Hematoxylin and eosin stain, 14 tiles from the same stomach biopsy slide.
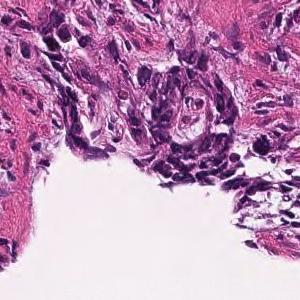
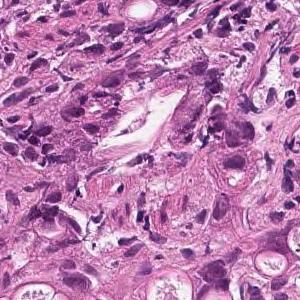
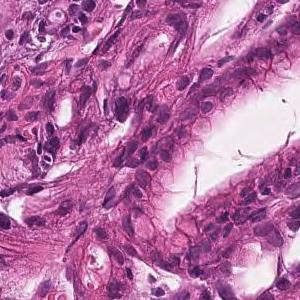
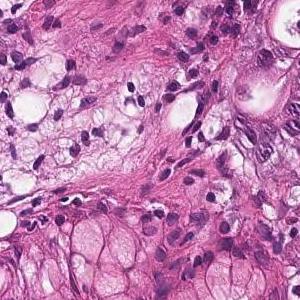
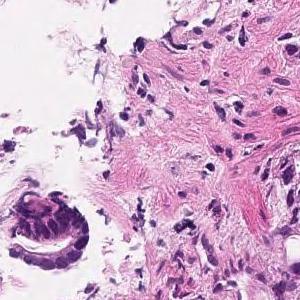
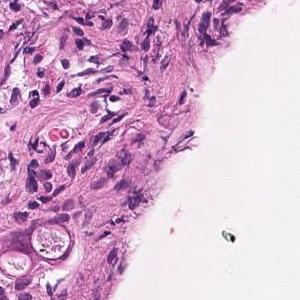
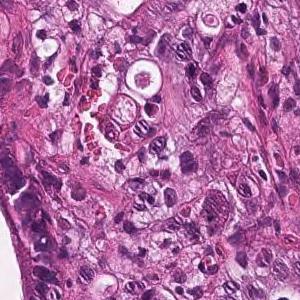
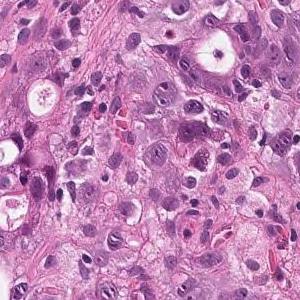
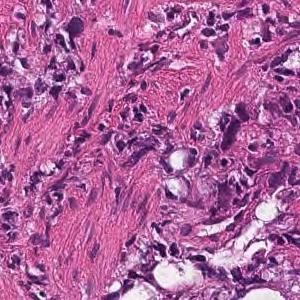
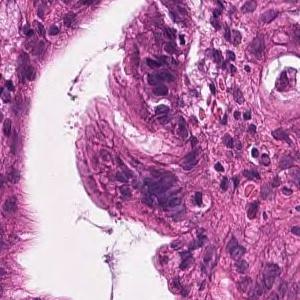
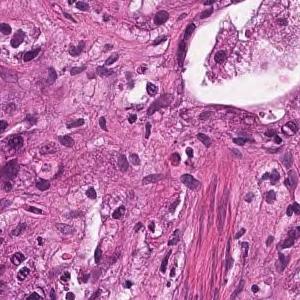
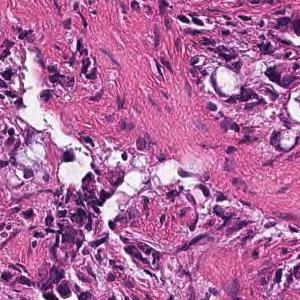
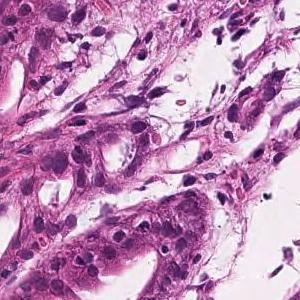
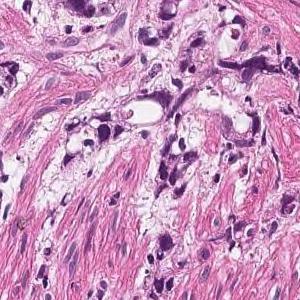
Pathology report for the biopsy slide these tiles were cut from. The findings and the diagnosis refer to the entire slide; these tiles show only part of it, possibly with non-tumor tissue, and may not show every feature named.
In the gastric mucosal tissue, tumor tissue that forms irregular glandular cavities of medium to small size or shows small cords and infiltrates is observed. moderately differentiated tubular adenocarcinoma
